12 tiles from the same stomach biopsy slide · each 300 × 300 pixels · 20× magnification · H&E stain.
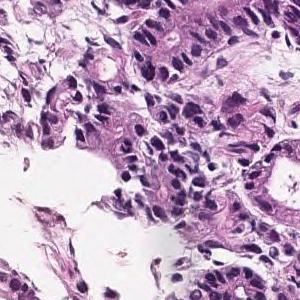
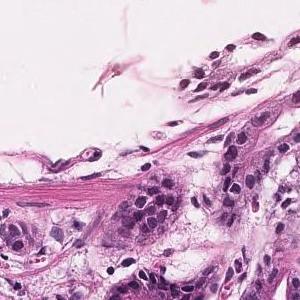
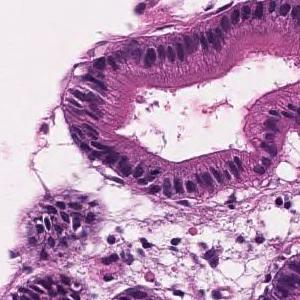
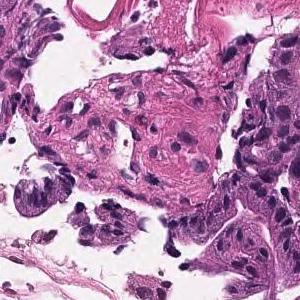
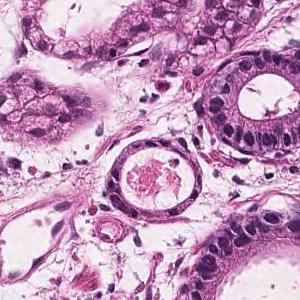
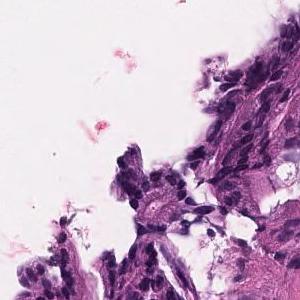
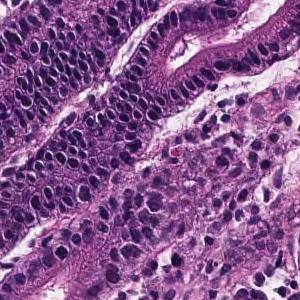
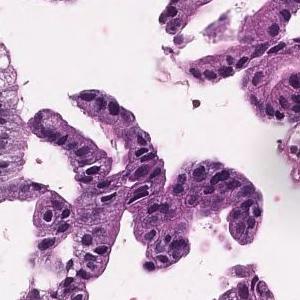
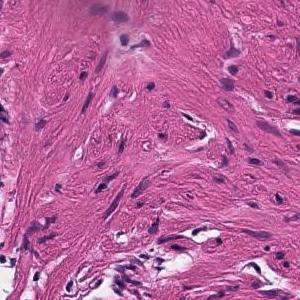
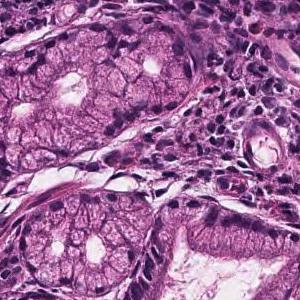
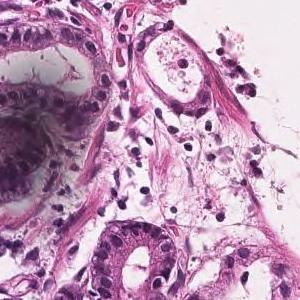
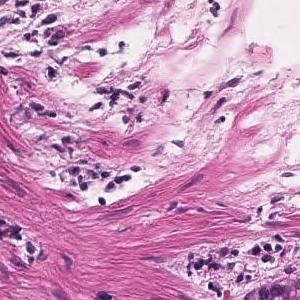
The pathologist's report on the biopsy slide these tiles were taken from. The report describes the whole slide, diagnosis included: not every finding it names need appear in these tiles, which may also show non-tumor tissue.
Tumor tissue with atypical epithelium showing irregular ductal or sieving ductal structure and proliferating is observed. Well to moderately differentiated tubular adenocarcinoma (well differentiated tubular adenocarcinoma-moderately differentiated tubular adenocarcinoma)
Subtype: Well to moderately differentiated tubular adenocarcinoma.
